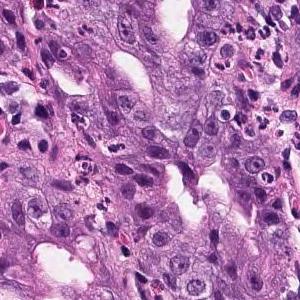
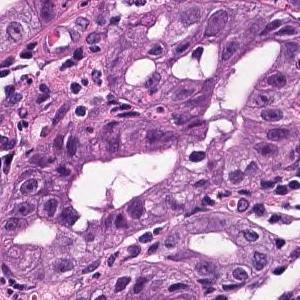
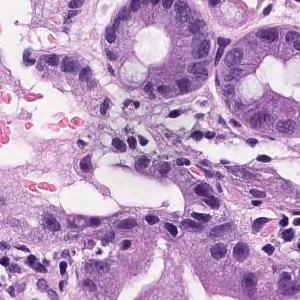
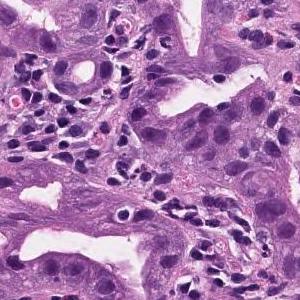
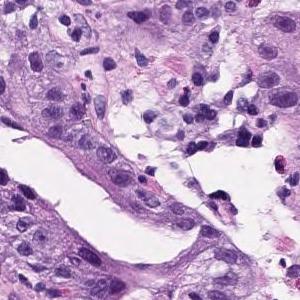
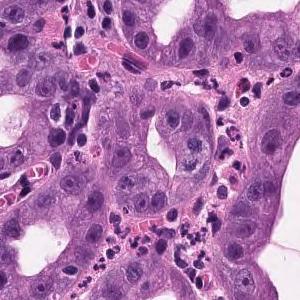
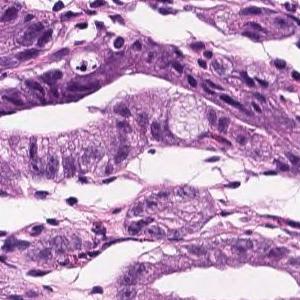
7 tiles cut from one stomach biopsy slide, 300×300 px each.
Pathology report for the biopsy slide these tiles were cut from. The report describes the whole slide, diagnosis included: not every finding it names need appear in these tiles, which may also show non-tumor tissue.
In the superficial epithelium, tumor tissue that invades by forming medium-sized to small, irregular ducts is observed. Well to moderately differentiated adenocarcinoma (well differentiated tubular adenocarcinoma, moderately differentiated tubular adenocarcinoma).
Histologic type: Well to moderately differentiated tubular adenocarcinoma.
